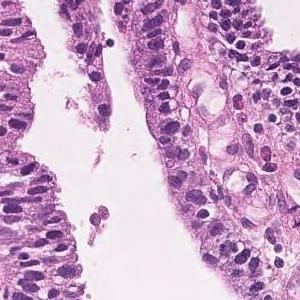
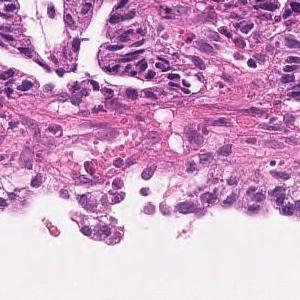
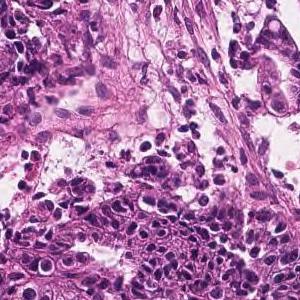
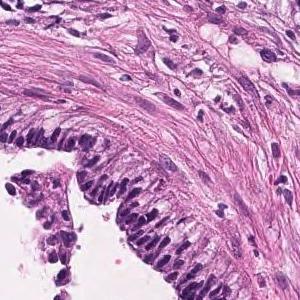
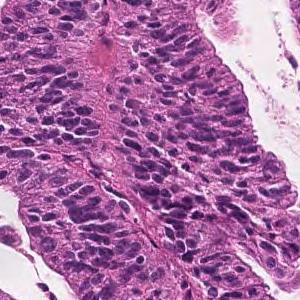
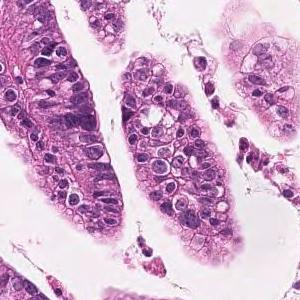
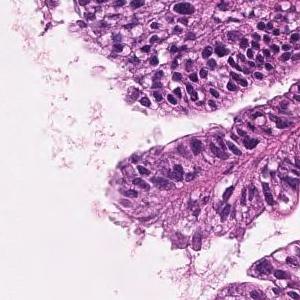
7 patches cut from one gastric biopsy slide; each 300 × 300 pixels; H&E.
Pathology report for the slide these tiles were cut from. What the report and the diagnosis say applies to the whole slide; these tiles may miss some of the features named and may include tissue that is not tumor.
Tumor cells are large, highly columnar, large club-shaped nuclei, and are associated with chromatin aggregation. Papillary adenocarcinoma.
